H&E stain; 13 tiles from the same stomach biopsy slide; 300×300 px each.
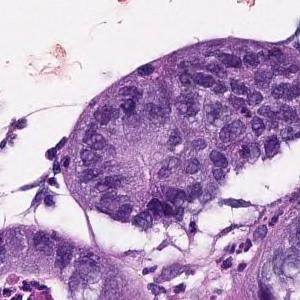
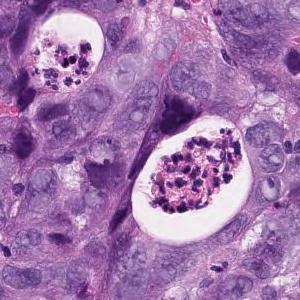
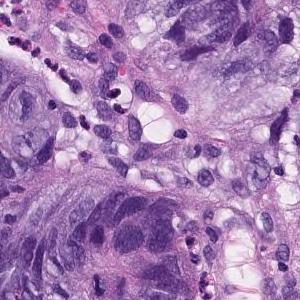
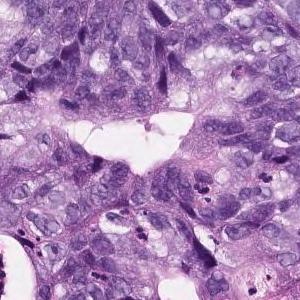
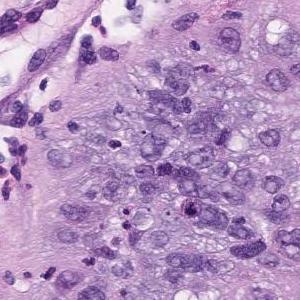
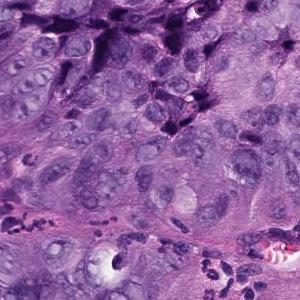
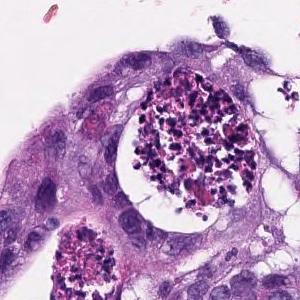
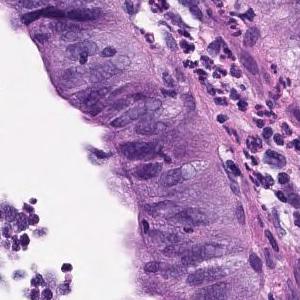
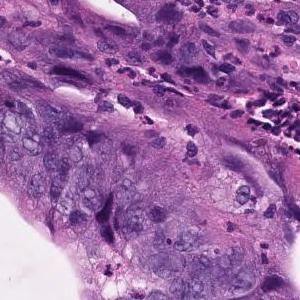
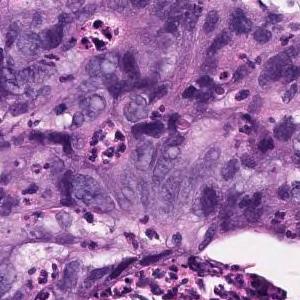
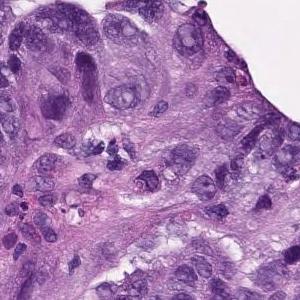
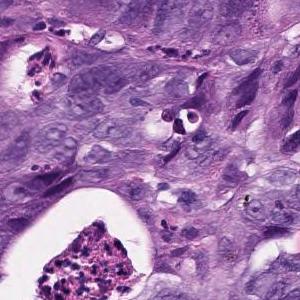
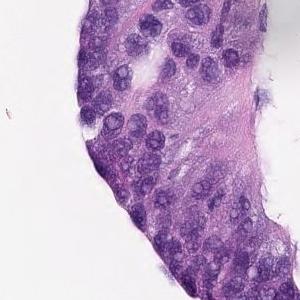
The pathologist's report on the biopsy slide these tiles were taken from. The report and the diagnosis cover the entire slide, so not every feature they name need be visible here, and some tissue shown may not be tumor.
In the superficial epithelium, tumor tissue that invades by forming medium-sized to small, irregular ducts is observed. Moderately differentiated adenocarcinoma.
Histological subtype: Moderately differentiated tubular adenocarcinoma.
